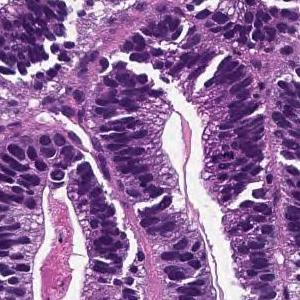
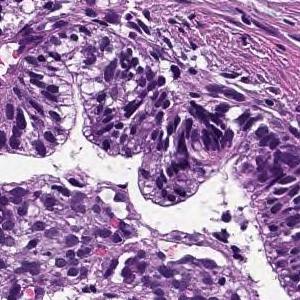
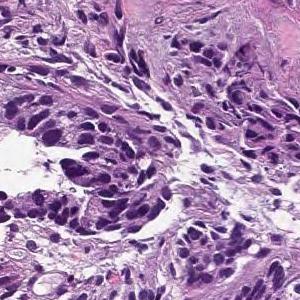
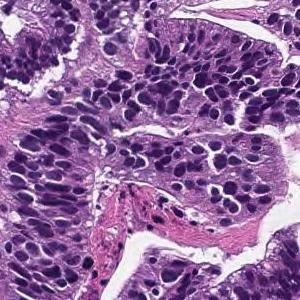
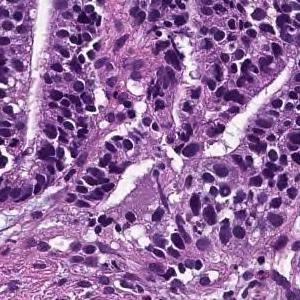
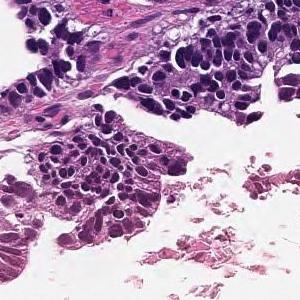
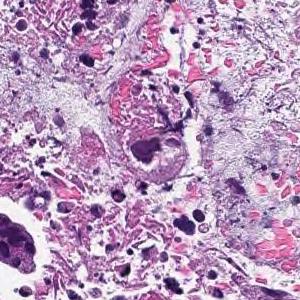
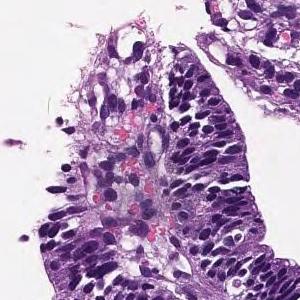
8 patches cut from one gastric biopsy slide · H&E stain · scanned at ×20.
Report on the slide these tiles come from. The findings and the diagnosis refer to the entire slide; these tiles show only part of it, possibly with non-tumor tissue, and may not show every feature named.
Tumor cells are large, highly columnar, large club-shaped nuclei, and are associated with chromatin aggregation. Papillary adenocarcinoma.
